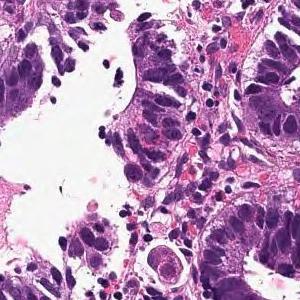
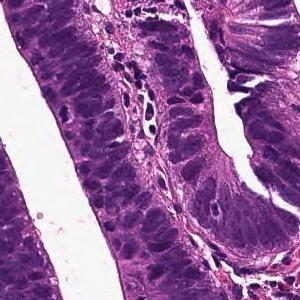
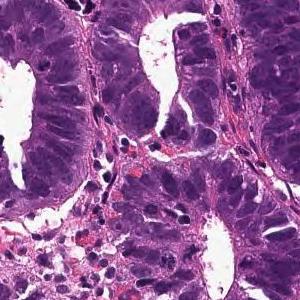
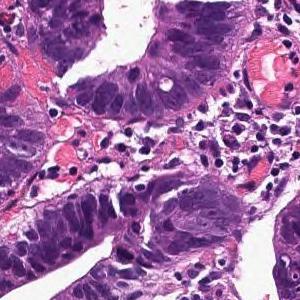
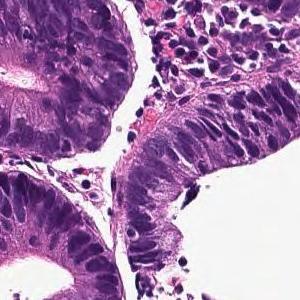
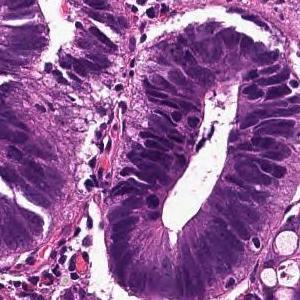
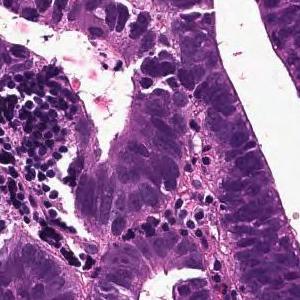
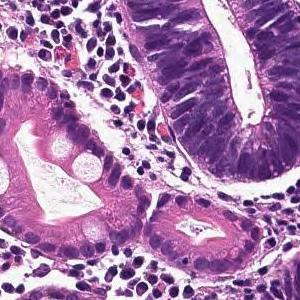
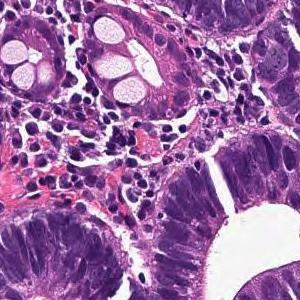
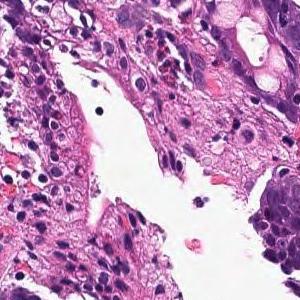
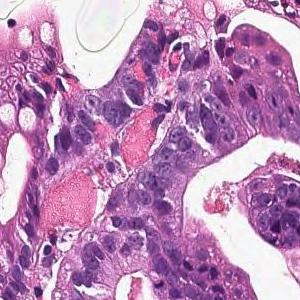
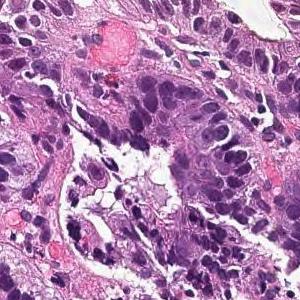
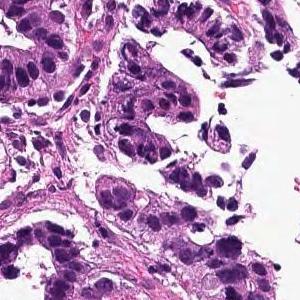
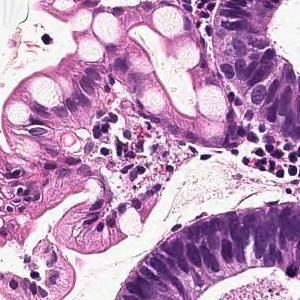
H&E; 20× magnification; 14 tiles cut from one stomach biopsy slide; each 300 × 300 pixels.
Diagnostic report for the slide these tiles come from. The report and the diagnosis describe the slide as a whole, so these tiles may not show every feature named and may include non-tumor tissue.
Tumor cells are large, highly columnar, large club-shaped nuclei, and are associated with chromatin aggregation. Papillary adenocarcinoma.
